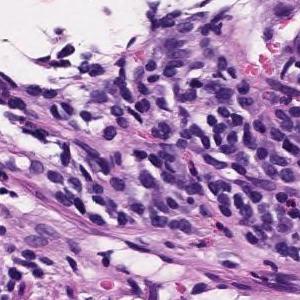
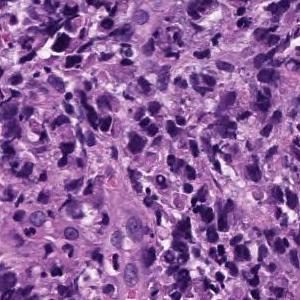
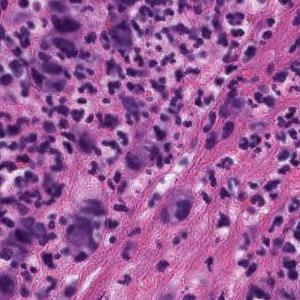
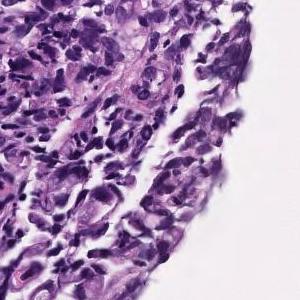
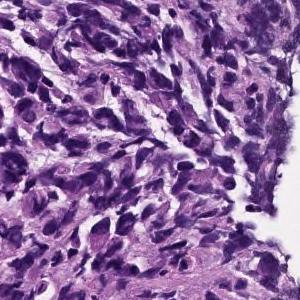
5 image tiles from a single gastric biopsy slide, 300 × 300 pixels each, H&E stain, ×20.
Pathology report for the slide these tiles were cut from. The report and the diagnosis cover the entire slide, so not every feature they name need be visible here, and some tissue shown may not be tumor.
Poorly differentiated, solid adenocarcinoma (poorly differentiated adenocarcinoma, solid type) with tumor tissue diffusely infiltrated with atypical epithelial cells
Histologic type: Poorly differentiated adenocarcinoma, solid type, a category of the Japanese Classification of Gastric Carcinoma; in the WHO 2019 classification it is tubular adenocarcinoma, poorly differentiated.
